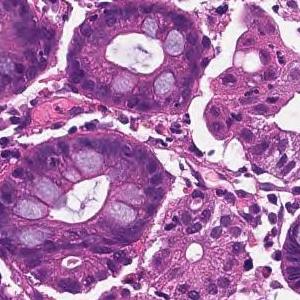
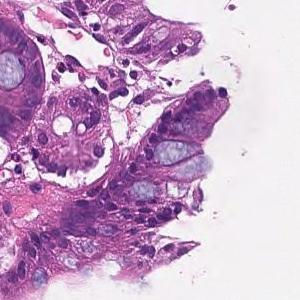
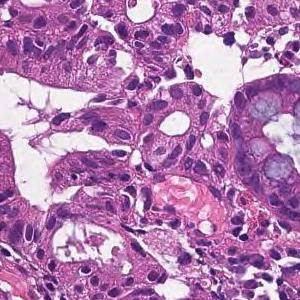
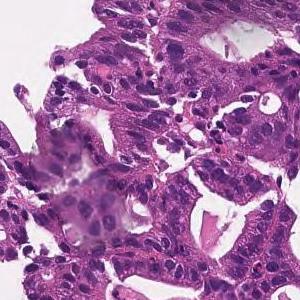
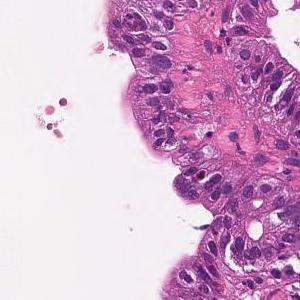
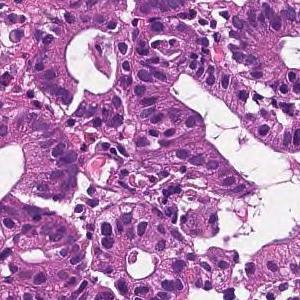
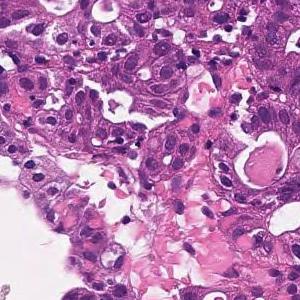
7 tiles cut from one stomach biopsy slide · 300×300 px each · 20× magnification · H&E.
The pathologist's report on the biopsy slide these tiles were taken from. The report describes the whole slide, diagnosis included: not every finding it names need appear in these tiles, which may also show non-tumor tissue.
On the superficial epithelium, tumor tissue consisting of medium-sized irregular glandular ducts partially fused and infiltrated is observed. Well to moderately differentiated tubular adenocarcinoma (well differentiated tubular adenocarcinoma-moderately differentiated tubular adenocarcinoma)
Histologic type: Well to moderately differentiated tubular adenocarcinoma.
